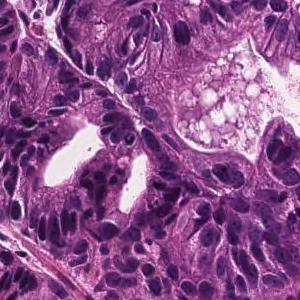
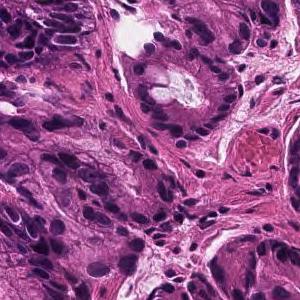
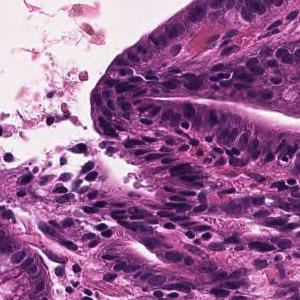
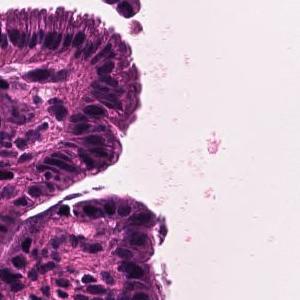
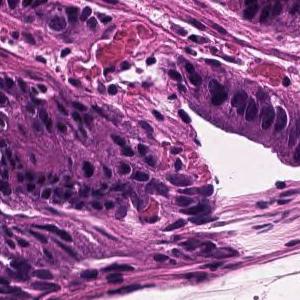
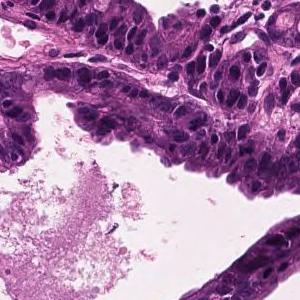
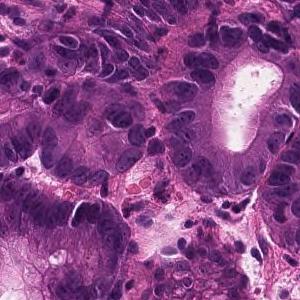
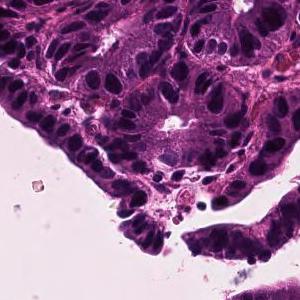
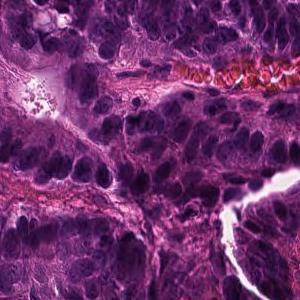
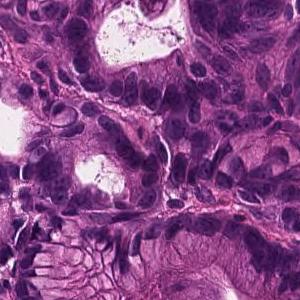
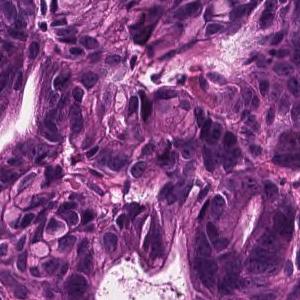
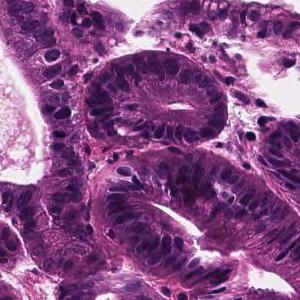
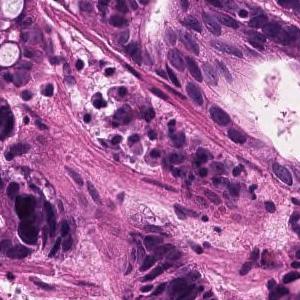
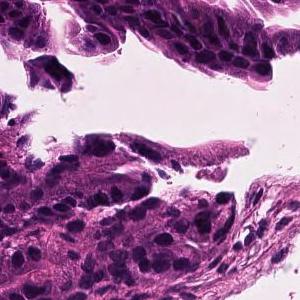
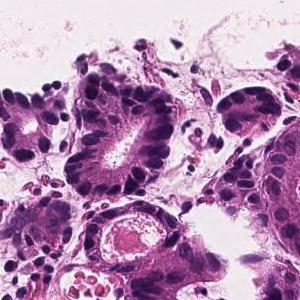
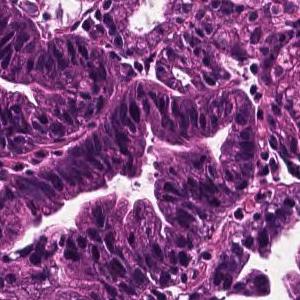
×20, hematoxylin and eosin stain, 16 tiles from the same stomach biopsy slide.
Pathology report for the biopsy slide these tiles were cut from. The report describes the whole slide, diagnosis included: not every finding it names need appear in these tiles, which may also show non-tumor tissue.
In the superficial epithelium, tumor tissue that invades by forming medium-sized to small, irregular ducts is observed. Well differentiated tubular adenocarcinoma.
